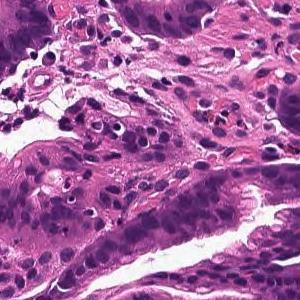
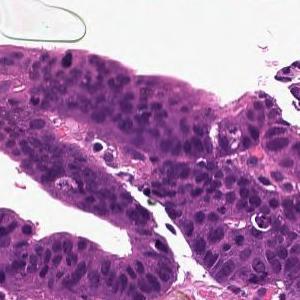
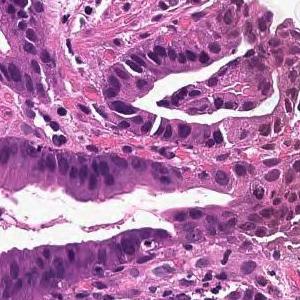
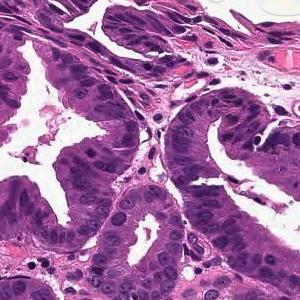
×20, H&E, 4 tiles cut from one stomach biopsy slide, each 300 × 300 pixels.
The pathologist's report on the biopsy slide these tiles were taken from. What the report and the diagnosis say applies to the whole slide; these tiles may miss some of the features named and may include tissue that is not tumor.
From the superficial epithelium to the muscularis mucosae, tumor tissue consisting of medium-sized and irregular glandular ducts infiltrating is observed. Well differentiated tubular adenocarcinoma
